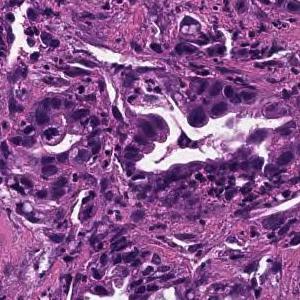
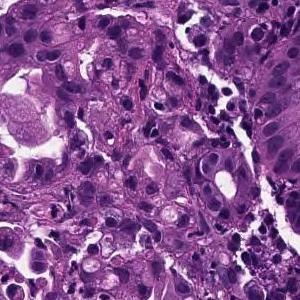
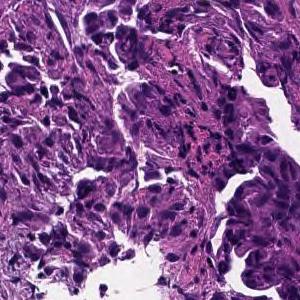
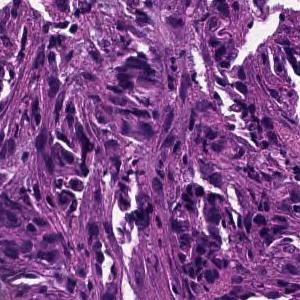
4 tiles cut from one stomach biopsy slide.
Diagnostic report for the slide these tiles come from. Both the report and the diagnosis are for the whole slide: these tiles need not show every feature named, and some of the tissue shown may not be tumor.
Tumor tissue consisting of medium-sized, cord-like or irregular glandular infiltration is observed in the superficial epithelium. Poorly differentiated adenocarcinoma, non-solid type or moderately differentiated tubular adenocarcinoma
Classified as moderately to poorly differentiated adenocarcinoma.
The term "non-solid type" comes from the Japanese Classification of Gastric Carcinoma.
